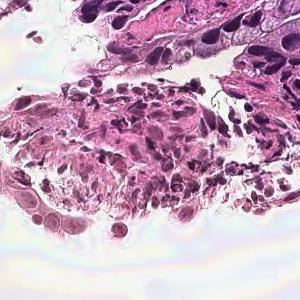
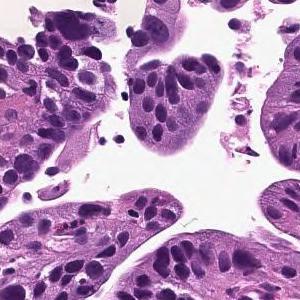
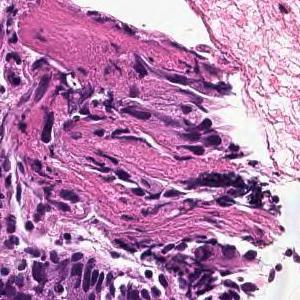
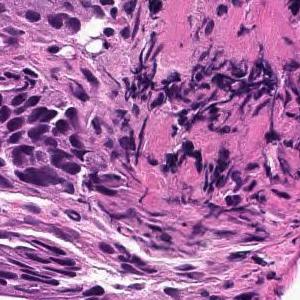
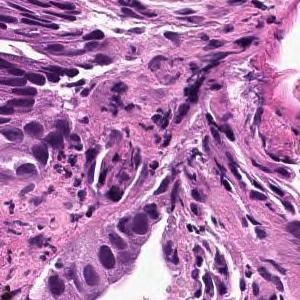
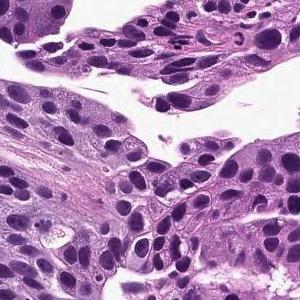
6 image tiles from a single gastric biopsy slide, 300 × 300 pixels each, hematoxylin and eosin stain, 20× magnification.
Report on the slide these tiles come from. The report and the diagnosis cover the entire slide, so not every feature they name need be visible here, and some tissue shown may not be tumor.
On the superficial epithelium, tumor tissue that infiltrates by forming medium-sized papillary or small irregular ducts is observed. Papillary adenocarcinoma
